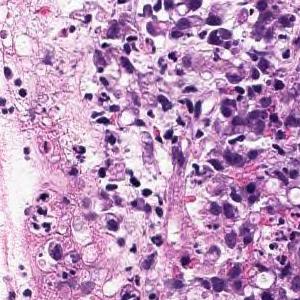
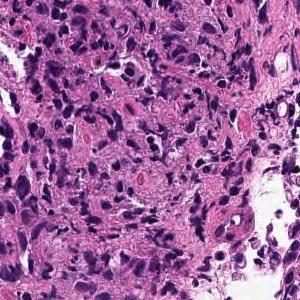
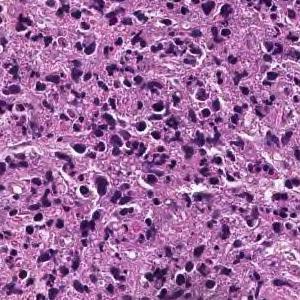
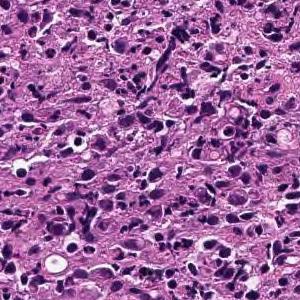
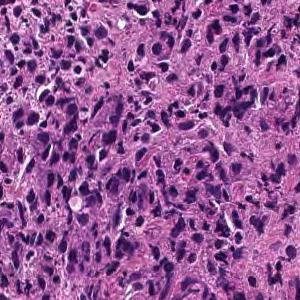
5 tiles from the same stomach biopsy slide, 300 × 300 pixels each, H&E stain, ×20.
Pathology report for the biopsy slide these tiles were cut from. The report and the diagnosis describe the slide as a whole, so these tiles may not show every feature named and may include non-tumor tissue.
Large sheet-like or diffusely infiltrating tumor tissue is found in the superficial epithelium. Poorly differentiated adenocarcinoma, solid-type
Classified as poorly differentiated adenocarcinoma, solid type, a category of the Japanese Classification of Gastric Carcinoma; in the WHO 2019 classification it is tubular adenocarcinoma, poorly differentiated.
